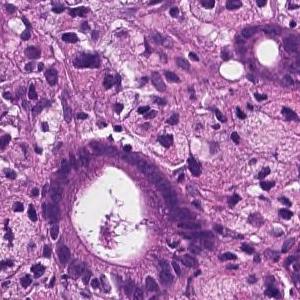
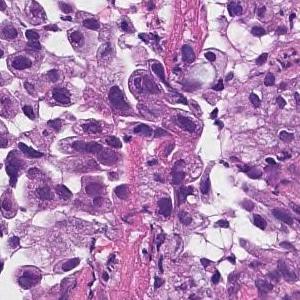
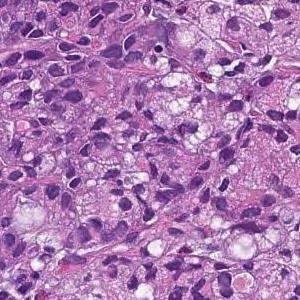
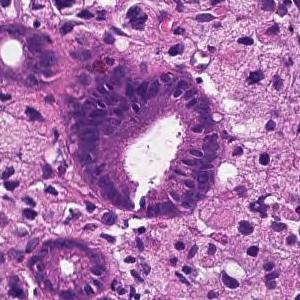
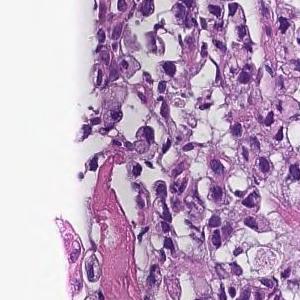
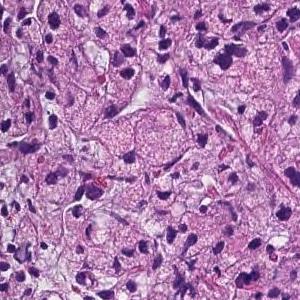
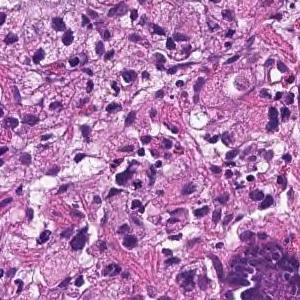
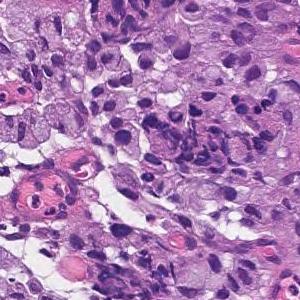
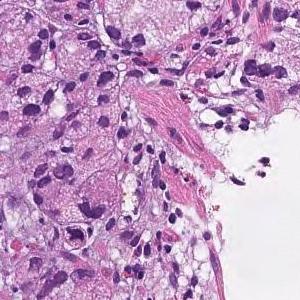
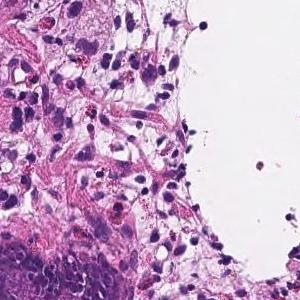
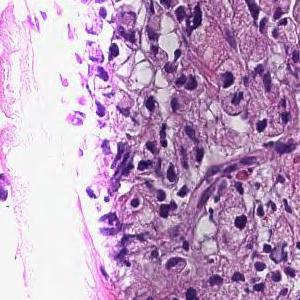
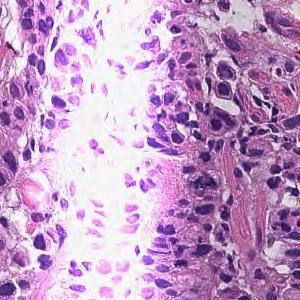
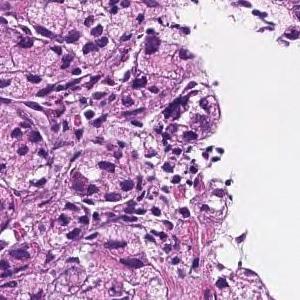
13 patches cut from one gastric biopsy slide · 300 × 300 pixels each · H&E · scanned at ×20.
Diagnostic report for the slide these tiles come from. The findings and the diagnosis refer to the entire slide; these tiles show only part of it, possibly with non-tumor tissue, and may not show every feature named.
In the lamina propria, a tumor tissue consisting of signet ring cell type atypical epithelial cells infiltrating is observed. Signet ring cell carcinoma.
